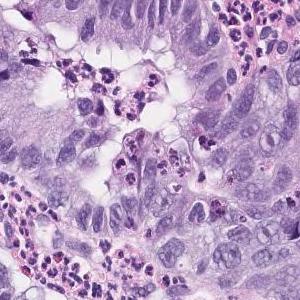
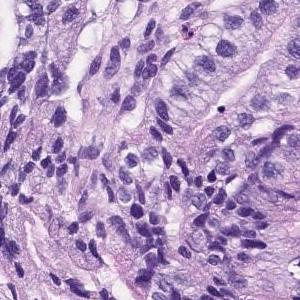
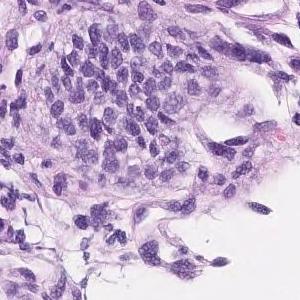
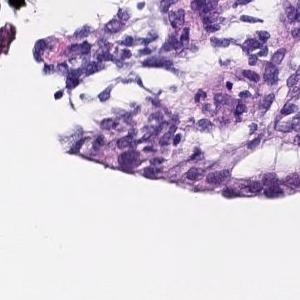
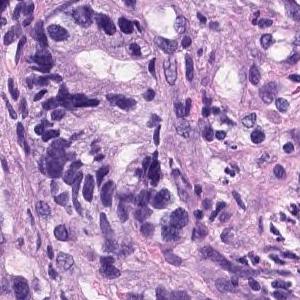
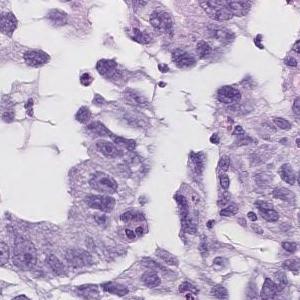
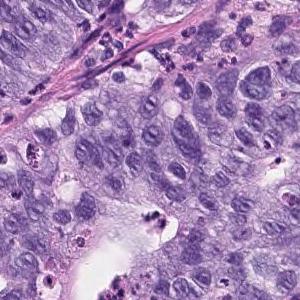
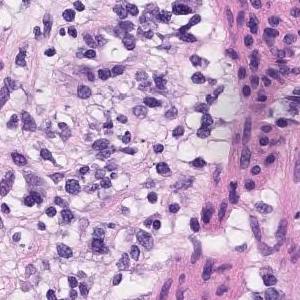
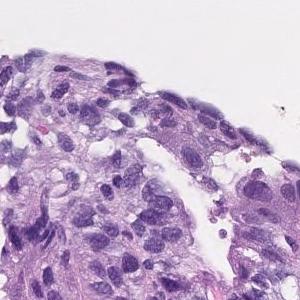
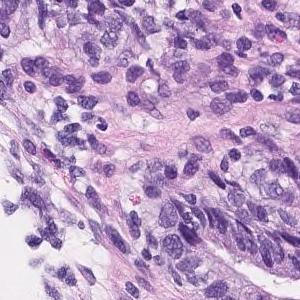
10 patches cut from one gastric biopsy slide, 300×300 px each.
Pathology report for the slide these tiles were cut from. The report and the diagnosis describe the slide as a whole, so these tiles may not show every feature named and may include non-tumor tissue.
Tumor cells are large, highly columnar, large club-shaped nuclei, and are associated with chromatin aggregation. Papillary adenocarcinoma.
